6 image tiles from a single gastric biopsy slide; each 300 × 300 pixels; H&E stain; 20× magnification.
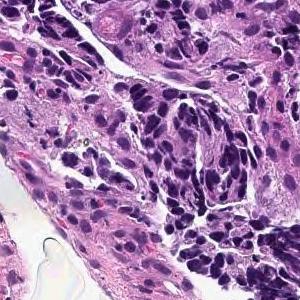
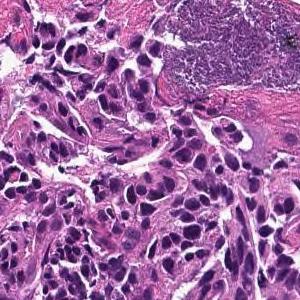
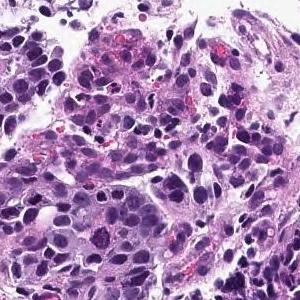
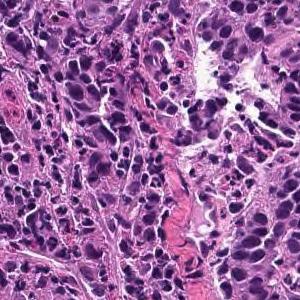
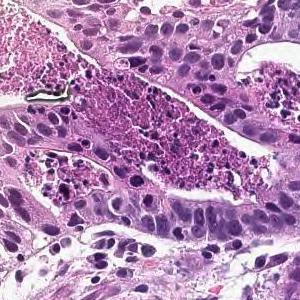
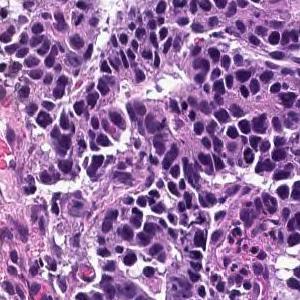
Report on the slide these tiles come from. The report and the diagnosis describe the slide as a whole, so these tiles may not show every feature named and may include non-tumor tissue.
In the superficial epithelium, tumor tissue that invades by forming medium-sized to small, irregular ducts is observed. moderately differentiated tubular adenocarcinoma.
